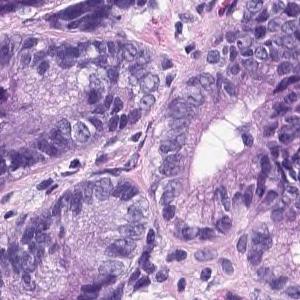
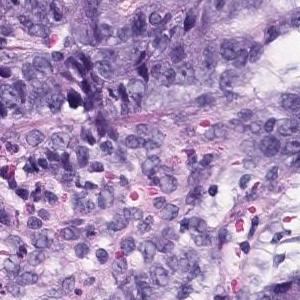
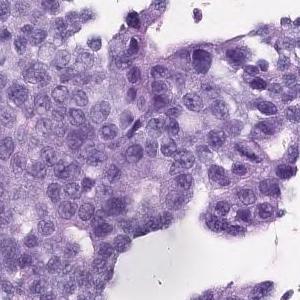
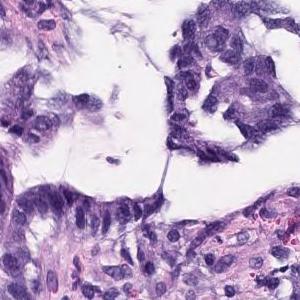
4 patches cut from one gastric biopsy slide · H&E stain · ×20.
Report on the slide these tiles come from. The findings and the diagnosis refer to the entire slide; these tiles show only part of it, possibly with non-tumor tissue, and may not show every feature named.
In the superficial epithelium, tumor tissue that invades by forming medium-sized to small, irregular ducts is observed. Well to moderately differentiated tubular adenocarcinoma.
